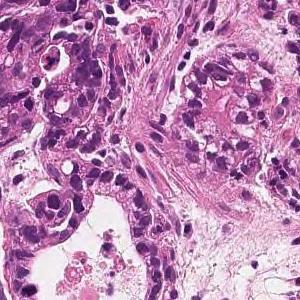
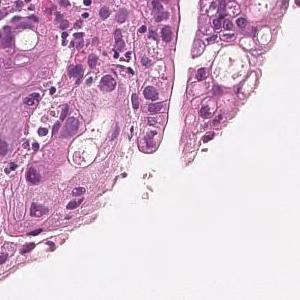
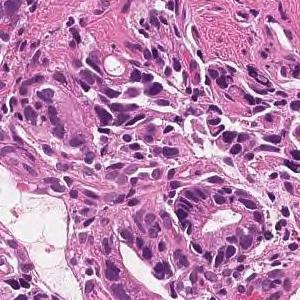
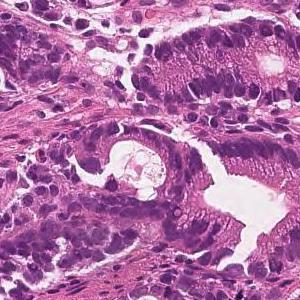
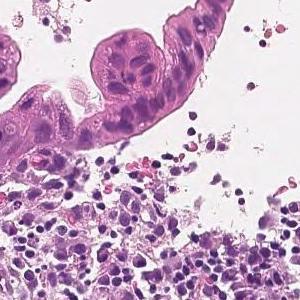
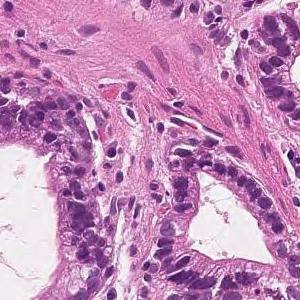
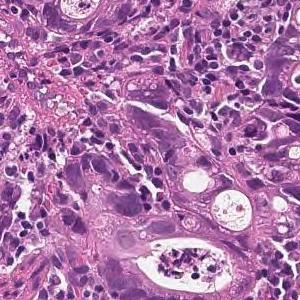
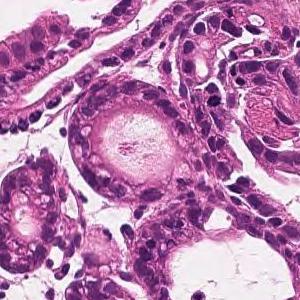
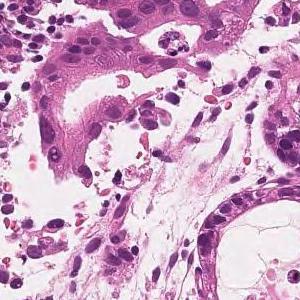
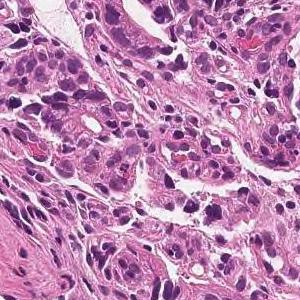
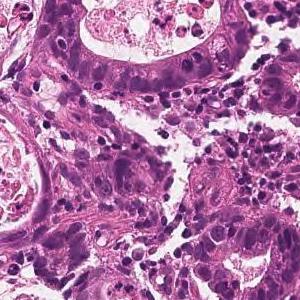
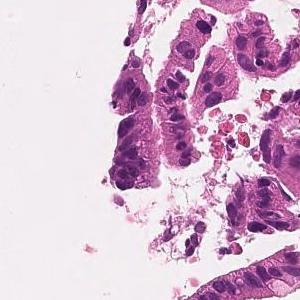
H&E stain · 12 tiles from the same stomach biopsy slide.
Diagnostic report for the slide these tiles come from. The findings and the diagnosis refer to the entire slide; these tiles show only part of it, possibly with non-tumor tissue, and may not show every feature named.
On the superficial epithelium, tumor tissue is found in which medium-sized irregular gland ducts fuse with each other and infiltrate. moderately differentiated tubular adenocarcinoma
